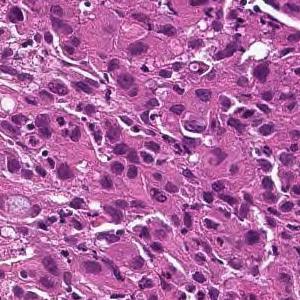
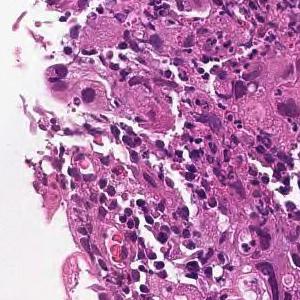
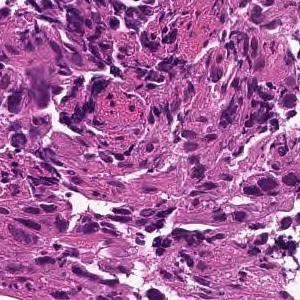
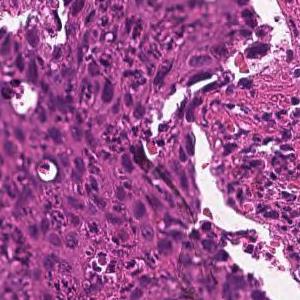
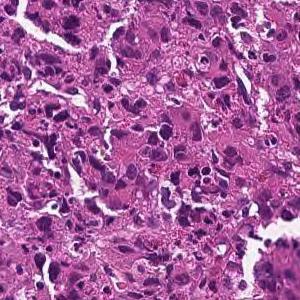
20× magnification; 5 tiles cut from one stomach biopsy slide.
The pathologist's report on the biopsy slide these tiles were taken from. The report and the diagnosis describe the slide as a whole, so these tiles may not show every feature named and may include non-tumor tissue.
The superficial epithelium shows a large sheet-like shape, and some tumor tissue infiltrates with small irregular ducts. Poorly differentiated adenocarcinoma, solid-type
Classified as poorly differentiated adenocarcinoma, solid type. This name comes from the Japanese Classification of Gastric Carcinoma; the WHO 2019 classification calls it tubular adenocarcinoma, poorly differentiated.
